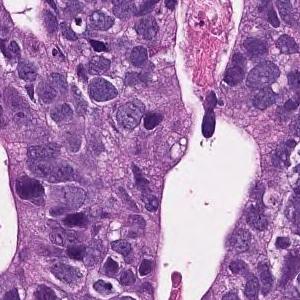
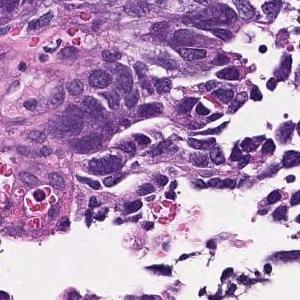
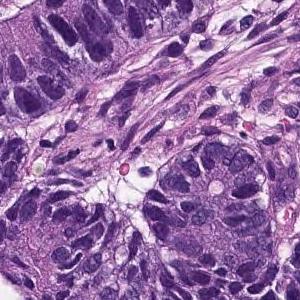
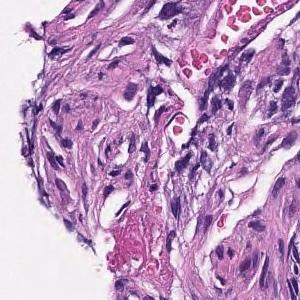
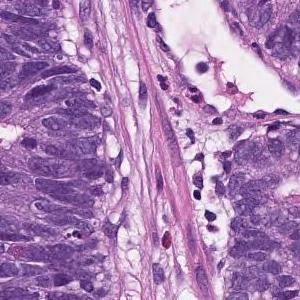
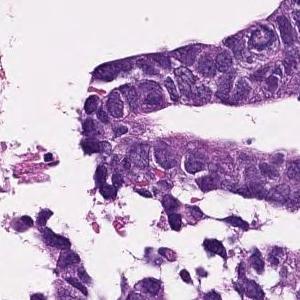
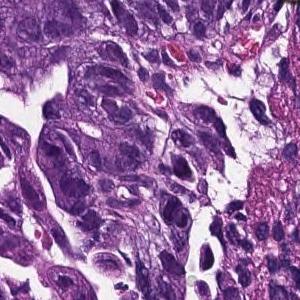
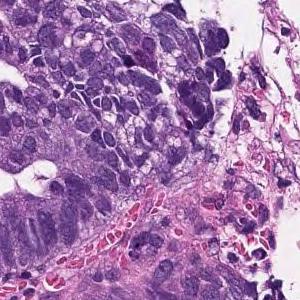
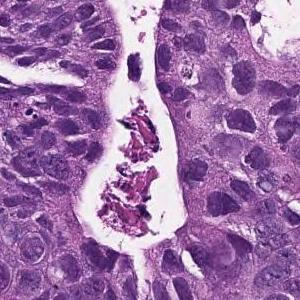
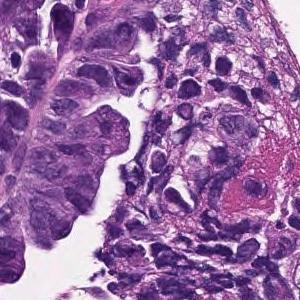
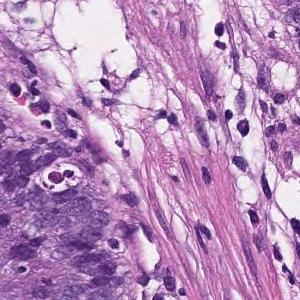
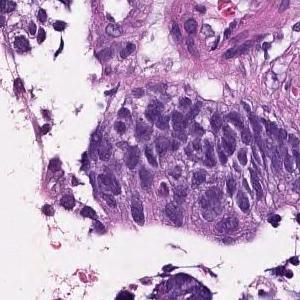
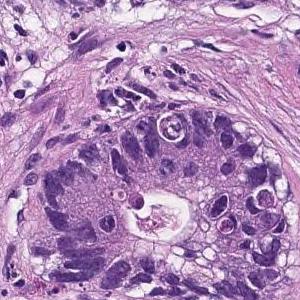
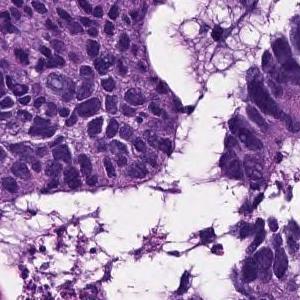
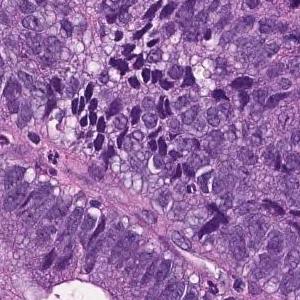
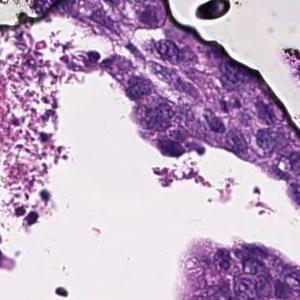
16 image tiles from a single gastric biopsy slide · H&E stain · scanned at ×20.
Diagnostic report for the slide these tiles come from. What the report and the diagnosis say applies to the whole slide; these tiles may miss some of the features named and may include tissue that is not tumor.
In the superficial epithelium, tumor tissue that invades by forming medium-sized to small, irregular ducts is observed. moderately differentiated tubular adenocarcinoma.
